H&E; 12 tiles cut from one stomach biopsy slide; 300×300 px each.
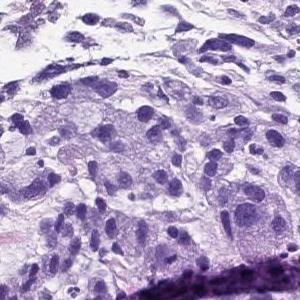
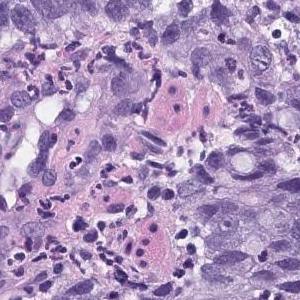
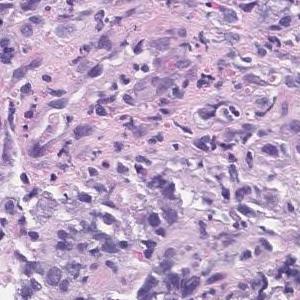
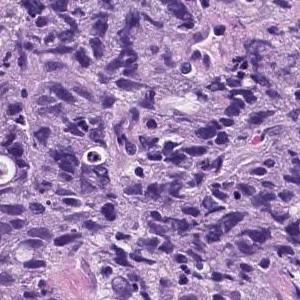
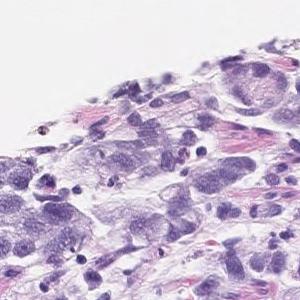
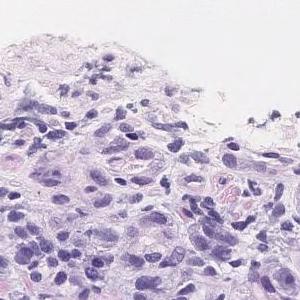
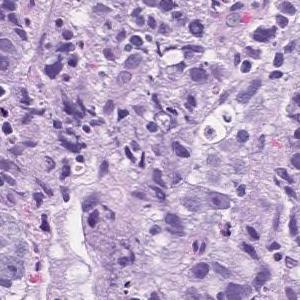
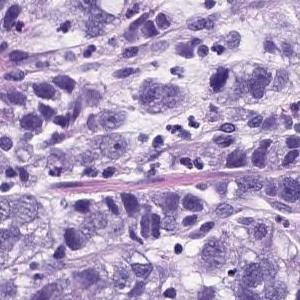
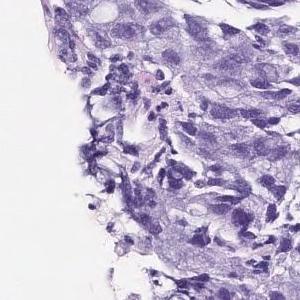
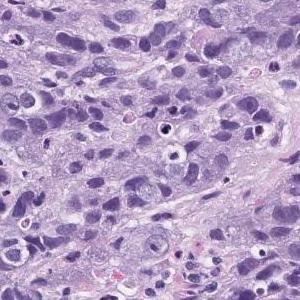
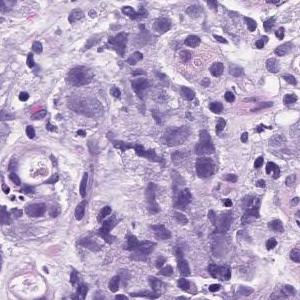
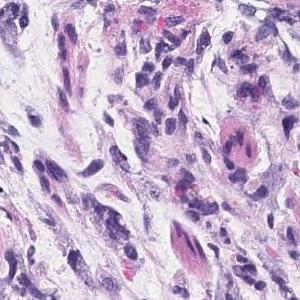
Pathology report for the biopsy slide these tiles were cut from. The findings and the diagnosis refer to the entire slide; these tiles show only part of it, possibly with non-tumor tissue, and may not show every feature named.
Atypical l cells with atypical nuclei forming solid vesicles or small irregular atypical ducts that proliferate in a complex manner. poorly differentiated adenocarcinoma, solid type, moderately differentiated tubular adenocarcinoma
The solid type named here is a Japanese Classification of Gastric Carcinoma category; WHO 2019 calls it tubular adenocarcinoma, poorly differentiated.
